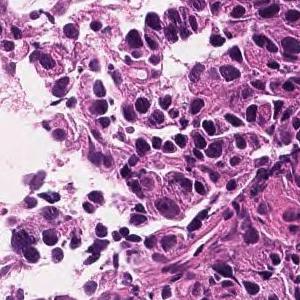
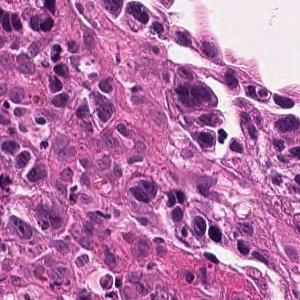
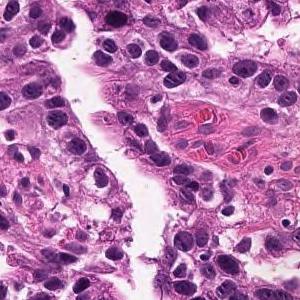
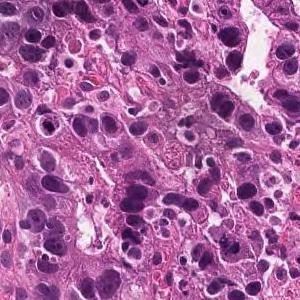
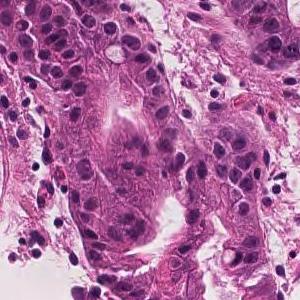
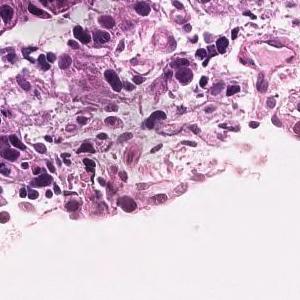
×20; 6 image tiles from a single gastric biopsy slide; each 300 × 300 pixels.
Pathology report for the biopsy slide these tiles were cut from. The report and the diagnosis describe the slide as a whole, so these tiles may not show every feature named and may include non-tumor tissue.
Tumor tissue consisting of medium-sized, cord-like or irregular glandular infiltration is observed in the superficial epithelium. Poorly differentiated adenocarcinoma, non-solid type or moderately differentiated tubular adenocarcinoma
Tumor subtype: moderately to poorly differentiated adenocarcinoma.
The non-solid type named here is a Japanese Classification of Gastric Carcinoma category.
